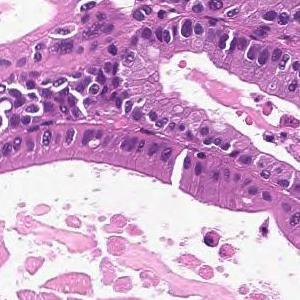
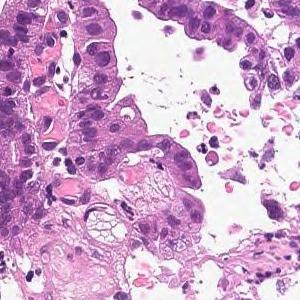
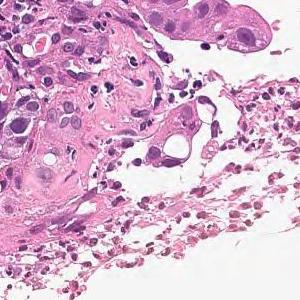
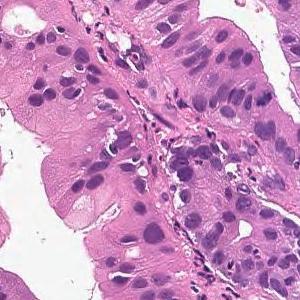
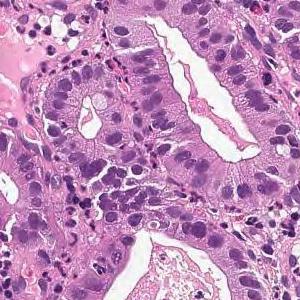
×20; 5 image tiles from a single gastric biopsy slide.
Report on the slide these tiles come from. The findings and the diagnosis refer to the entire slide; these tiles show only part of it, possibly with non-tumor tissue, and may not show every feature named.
From the superficial epithelium to the muscularis mucosae, tumor tissue consisting of medium-sized and irregular glandular ducts infiltrating is observed. Well differentiated tubular adenocarcinoma
